15 image tiles from a single gastric biopsy slide, each 300 × 300 pixels, 20× magnification.
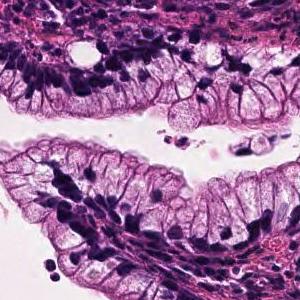
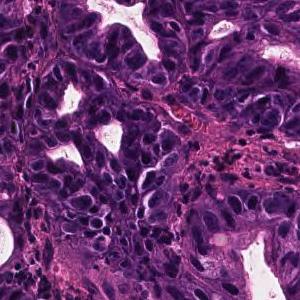
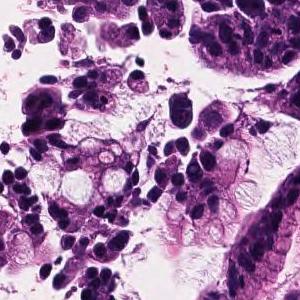
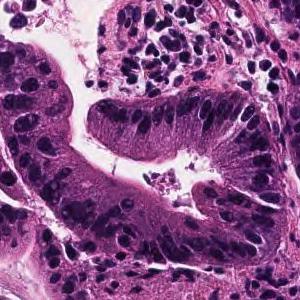
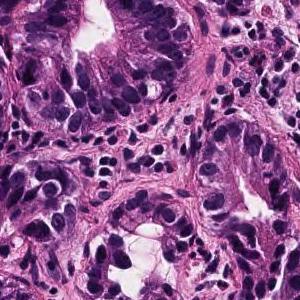
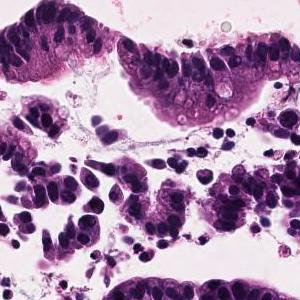
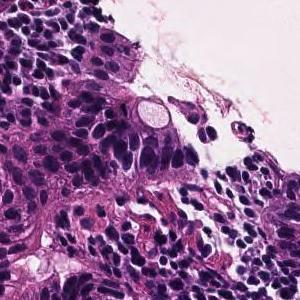
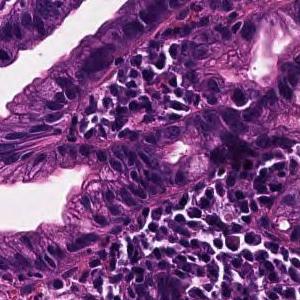
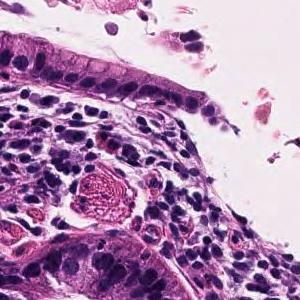
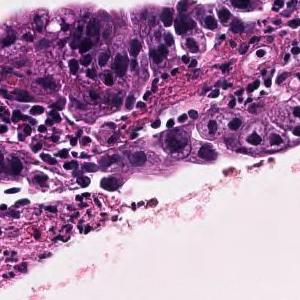
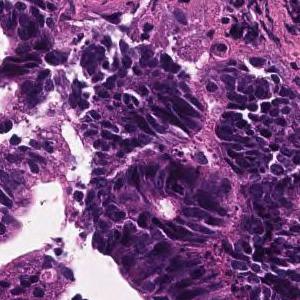
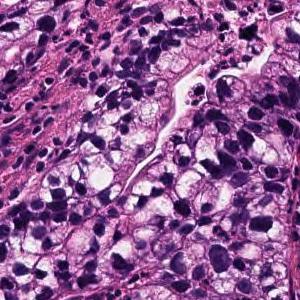
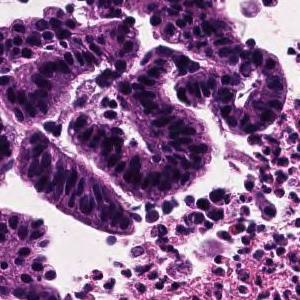
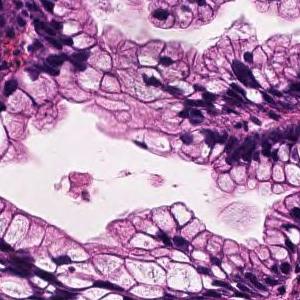
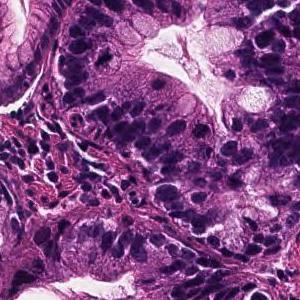
Pathology report for the slide these tiles were cut from. The report and the diagnosis describe the slide as a whole, so these tiles may not show every feature named and may include non-tumor tissue.
Tumor cells are large, highly columnar, large club-shaped nuclei, and are associated with chromatin aggregation. Papillary adenocarcinoma.
